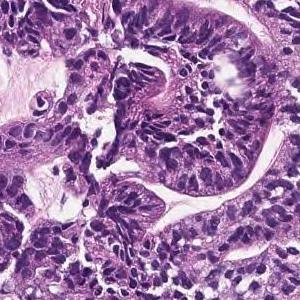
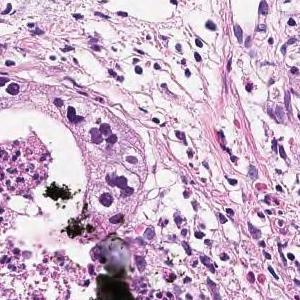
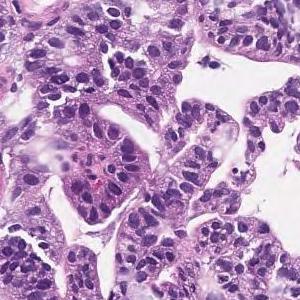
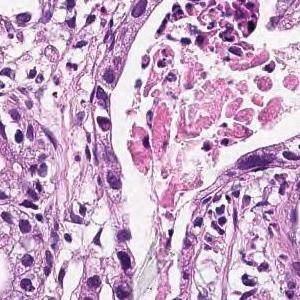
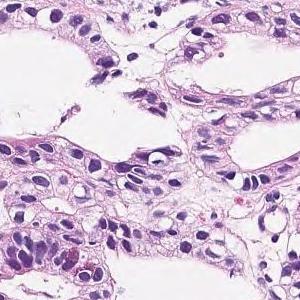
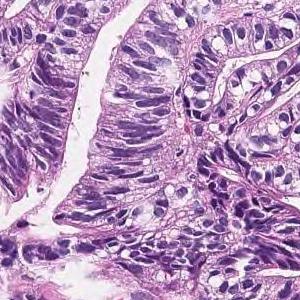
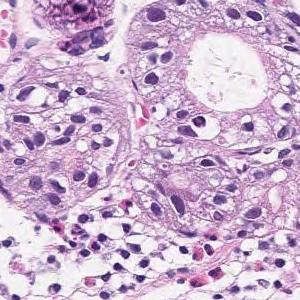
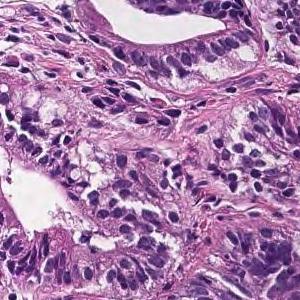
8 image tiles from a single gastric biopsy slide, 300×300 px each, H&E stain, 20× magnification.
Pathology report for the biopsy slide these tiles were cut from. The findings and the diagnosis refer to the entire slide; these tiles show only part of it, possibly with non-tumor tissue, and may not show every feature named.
In the superficial epithelium, tumor tissue that invades by forming medium-sized to small, irregular ducts is observed. Moderately differentiated adenocarcinoma.
Subtype: Moderately differentiated tubular adenocarcinoma.
